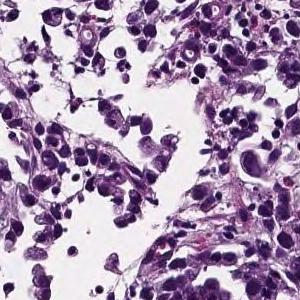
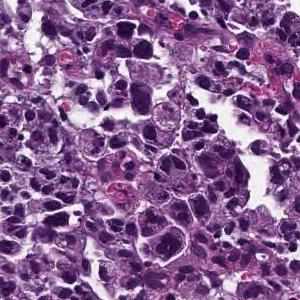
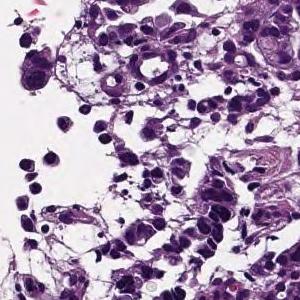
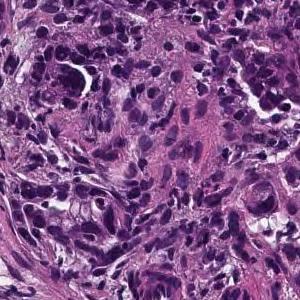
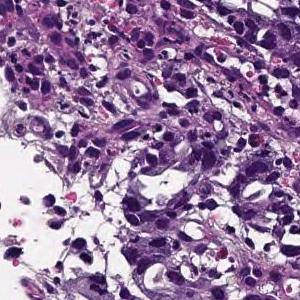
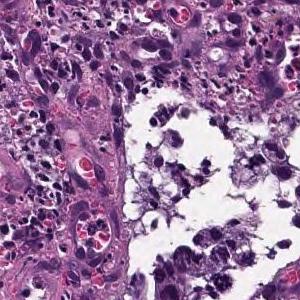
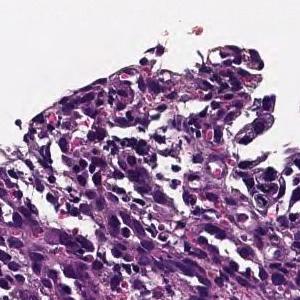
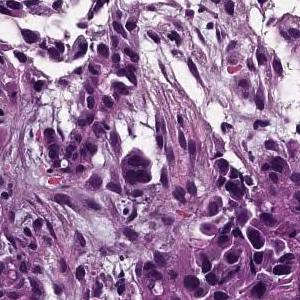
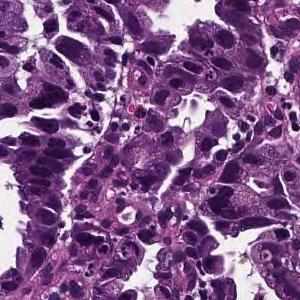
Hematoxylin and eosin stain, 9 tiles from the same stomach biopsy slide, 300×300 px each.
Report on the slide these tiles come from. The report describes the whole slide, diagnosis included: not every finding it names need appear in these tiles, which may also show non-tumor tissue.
Medium to small, irregular glandular ducts are formed in the superficial epithelium, and in some cases, the glandular ducts are fused to show solid alveolar lesions and infiltrating tumor tissue is observed. Moderately to poorly differentiated adenocarcinoma.
